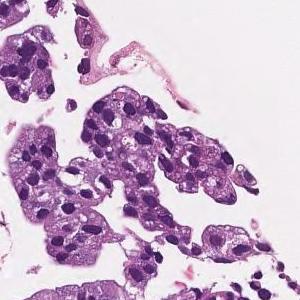
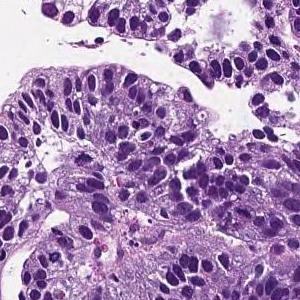
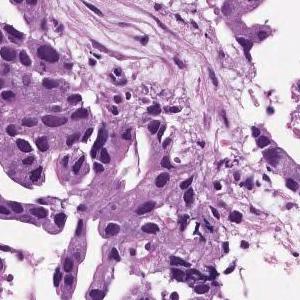
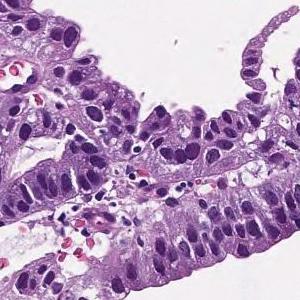
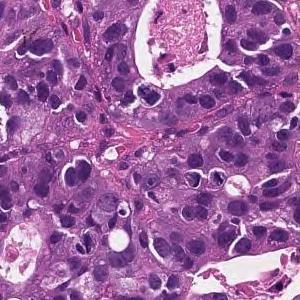
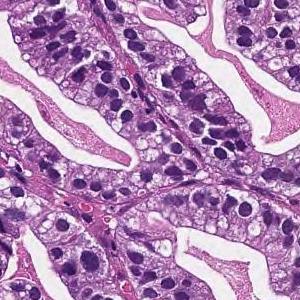
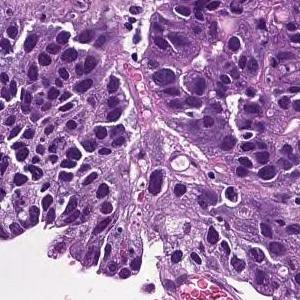
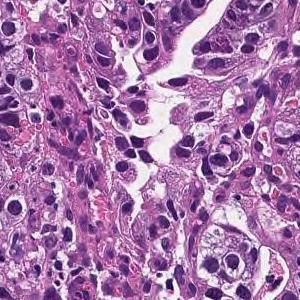
Scanned at ×20; hematoxylin and eosin stain; 8 patches cut from one gastric biopsy slide; 300×300 px each.
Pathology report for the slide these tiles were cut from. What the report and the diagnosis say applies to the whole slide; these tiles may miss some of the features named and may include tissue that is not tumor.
On the superficial epithelium, tumor tissue consisting of large, irregular glandular ducts partially fused and infiltrated is observed. Well to moderately differentiated tubular adenocarcinoma (well differentiated tubular adenocarcinoma, moderately differentiated tubular adenocarcinoma)
Subtype: Well to moderately differentiated tubular adenocarcinoma.
